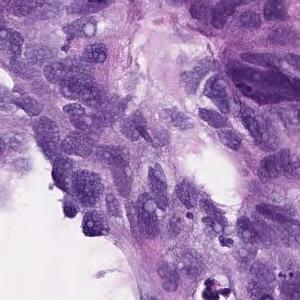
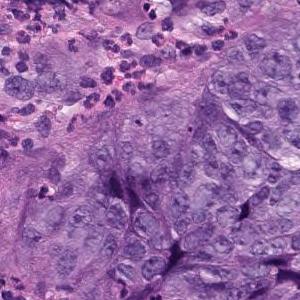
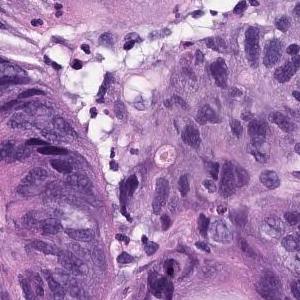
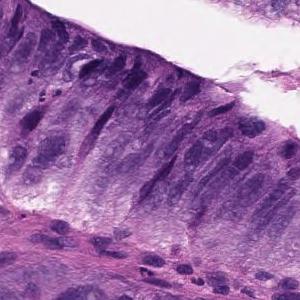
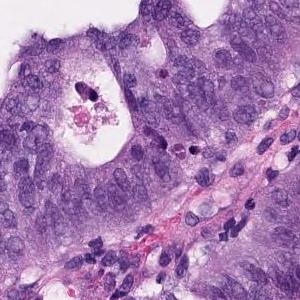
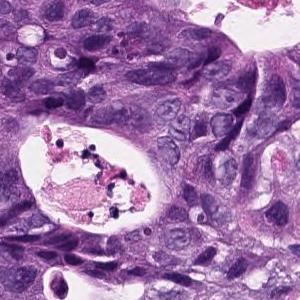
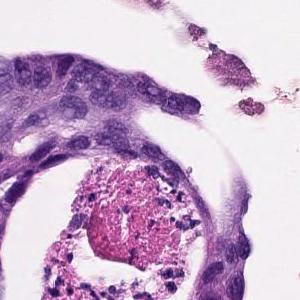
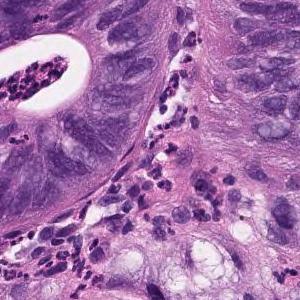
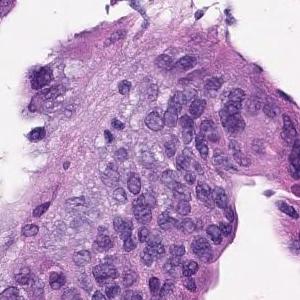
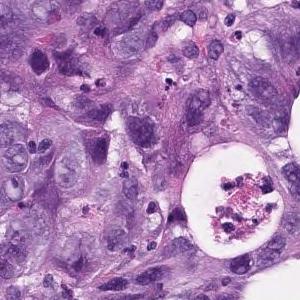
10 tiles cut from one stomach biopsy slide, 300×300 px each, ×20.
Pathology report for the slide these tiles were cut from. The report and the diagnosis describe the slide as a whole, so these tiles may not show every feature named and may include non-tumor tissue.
In the superficial epithelium, tumor tissue that invades by forming medium-sized to small, irregular ducts is observed. Moderately differentiated adenocarcinoma.
Histological subtype: Moderately differentiated tubular adenocarcinoma.
